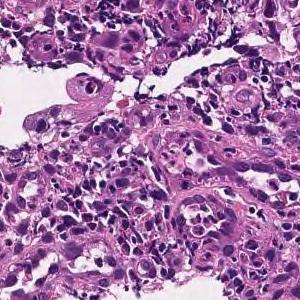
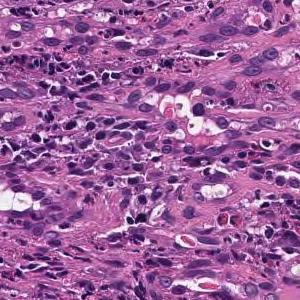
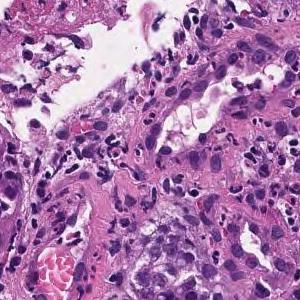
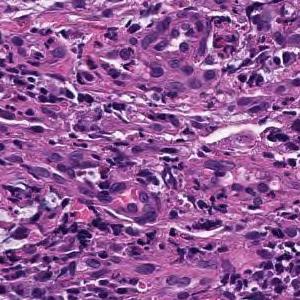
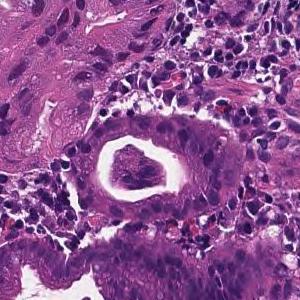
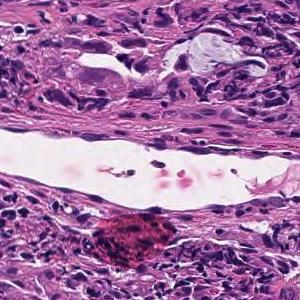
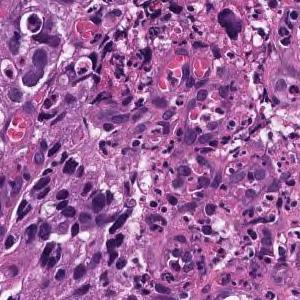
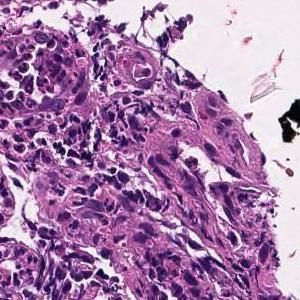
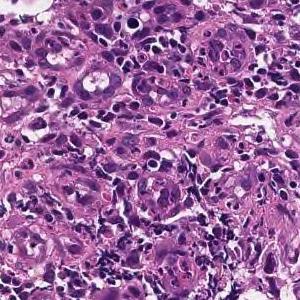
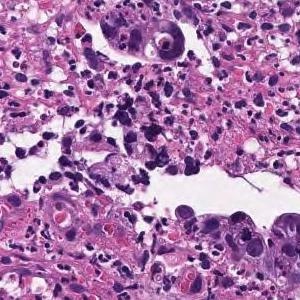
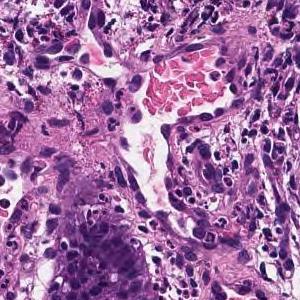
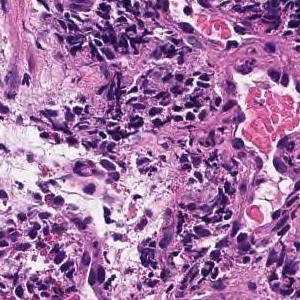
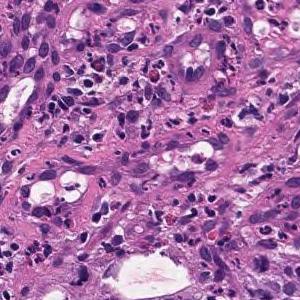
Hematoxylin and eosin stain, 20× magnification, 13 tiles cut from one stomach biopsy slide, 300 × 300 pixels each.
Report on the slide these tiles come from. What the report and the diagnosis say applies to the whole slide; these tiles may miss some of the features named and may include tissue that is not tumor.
In the superficial epithelium, tumor tissue that invades by forming medium-sized to small, irregular ducts is observed. moderately differentiated tubular adenocarcinoma.
